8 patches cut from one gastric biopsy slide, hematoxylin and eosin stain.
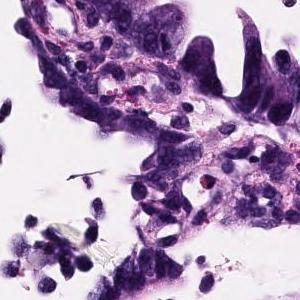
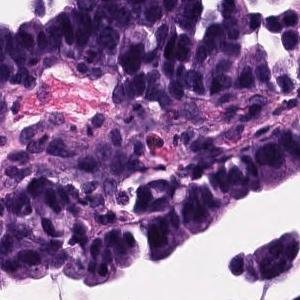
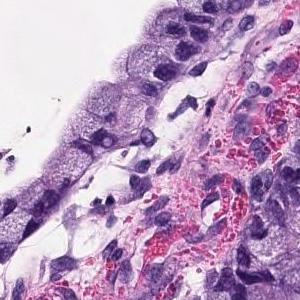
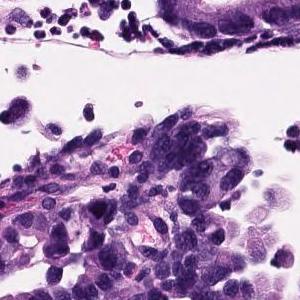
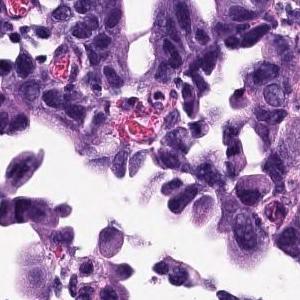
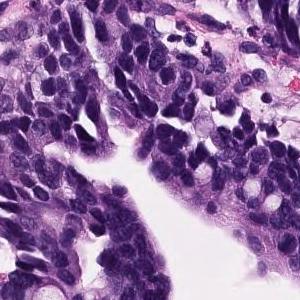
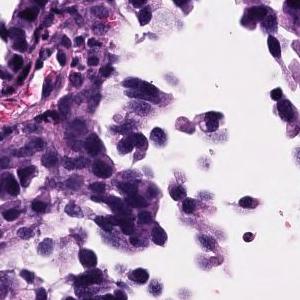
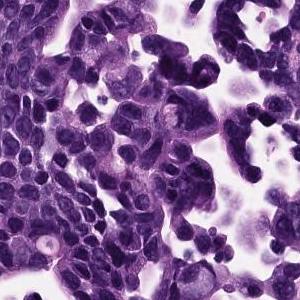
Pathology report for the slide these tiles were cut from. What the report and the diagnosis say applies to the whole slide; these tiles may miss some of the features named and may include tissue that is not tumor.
Atypical epithelium proliferating showing villus construction and irregular gland duct construction is observed. Moderately differentiated tubular adenocarcinoma.
